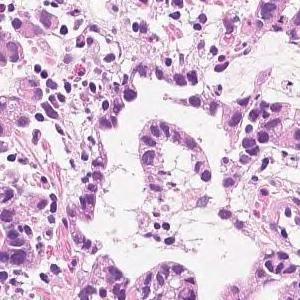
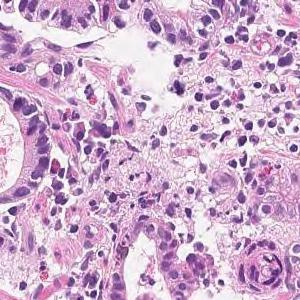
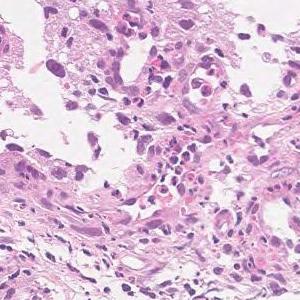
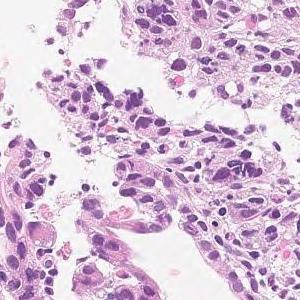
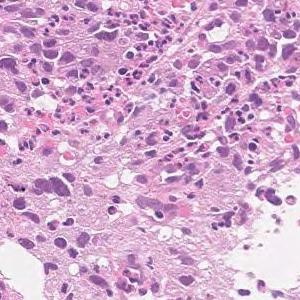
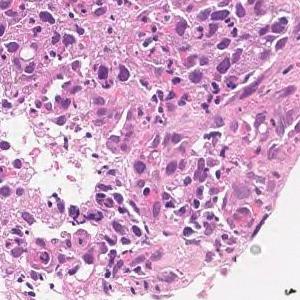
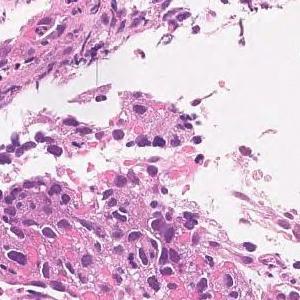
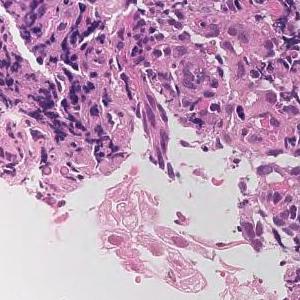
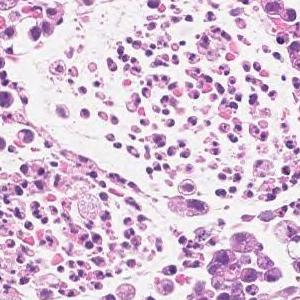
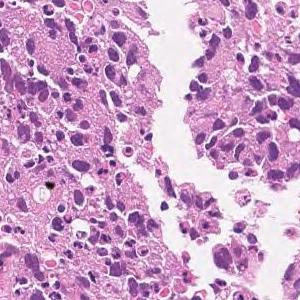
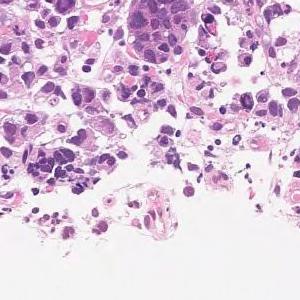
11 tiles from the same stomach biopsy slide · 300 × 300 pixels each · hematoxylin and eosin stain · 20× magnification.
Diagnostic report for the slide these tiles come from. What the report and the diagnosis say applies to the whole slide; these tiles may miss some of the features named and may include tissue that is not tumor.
Medium to small, irregular glandular ducts are formed in the superficial epithelium, and in some cases, the glandular ducts are fused to show solid alveolar lesions and infiltrating tumor tissue is observed. Moderately to poorly differentiated adenocarcinoma.
